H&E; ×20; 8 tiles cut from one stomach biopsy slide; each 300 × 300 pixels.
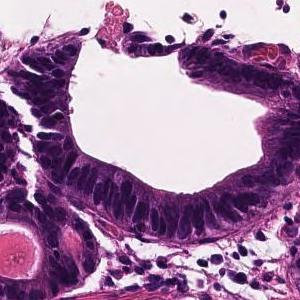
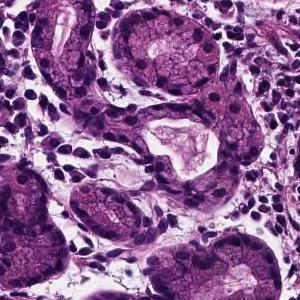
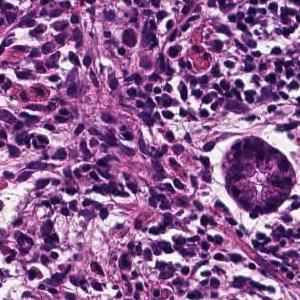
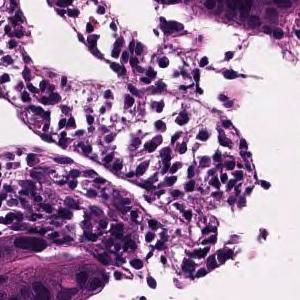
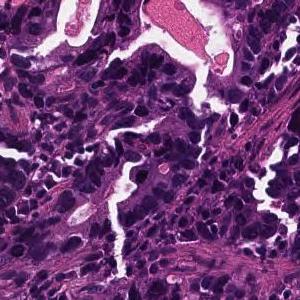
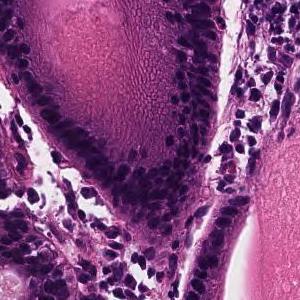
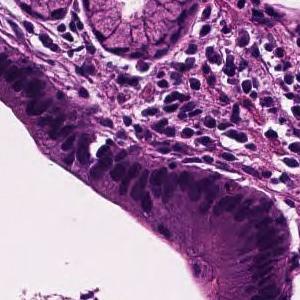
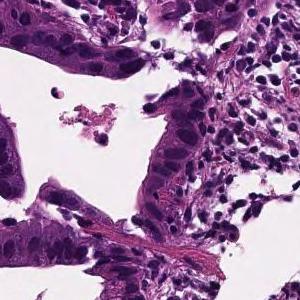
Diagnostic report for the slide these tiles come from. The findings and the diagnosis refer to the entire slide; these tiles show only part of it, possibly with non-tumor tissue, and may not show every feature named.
In the superficial epithelium, tumor tissue that invades by forming medium-sized to small, irregular ducts is observed. moderately differentiated tubular adenocarcinoma.
